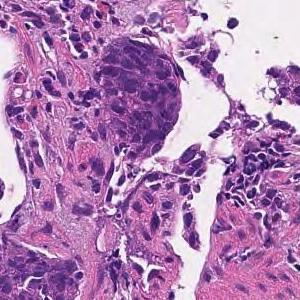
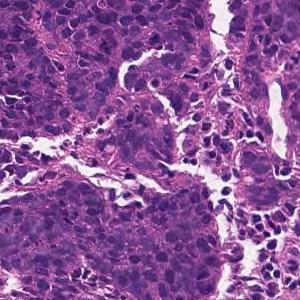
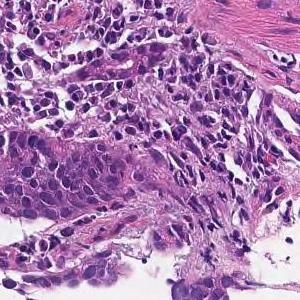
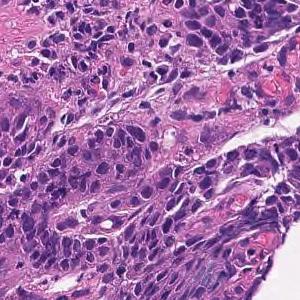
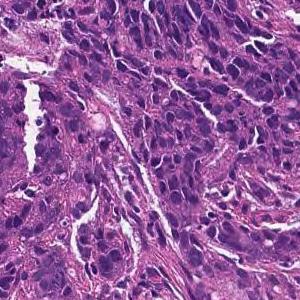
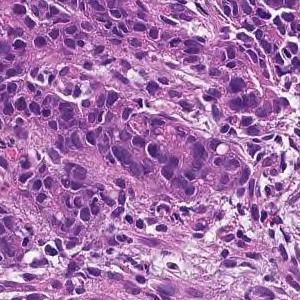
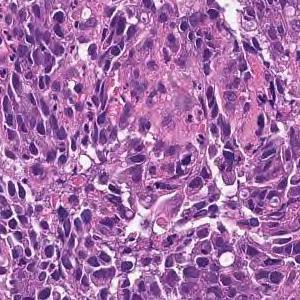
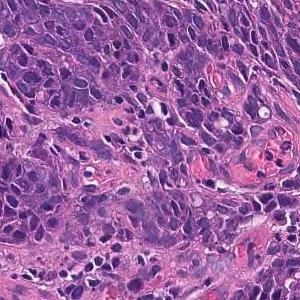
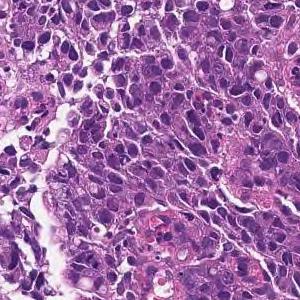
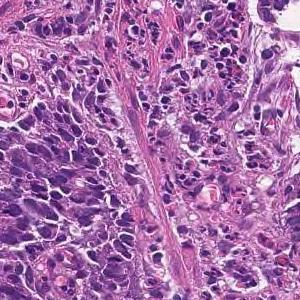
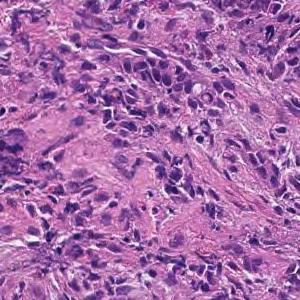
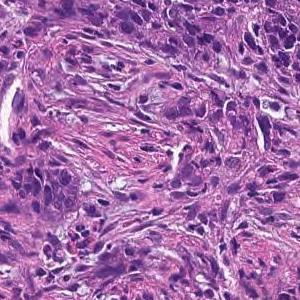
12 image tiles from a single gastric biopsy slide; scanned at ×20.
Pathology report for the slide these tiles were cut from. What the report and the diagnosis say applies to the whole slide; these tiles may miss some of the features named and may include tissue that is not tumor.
Tumor tissue consisting of cord-like or small, irregular glandular ducts fused and infiltrated is observed in the superficial epithelium. Poorly differentiated adenocarcinoma, non-solid type
"Non-solid type" is a category of the Japanese Classification of Gastric Carcinoma.
